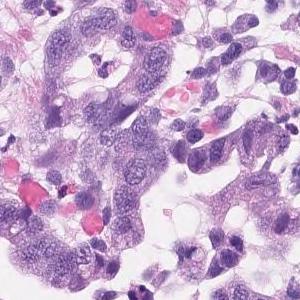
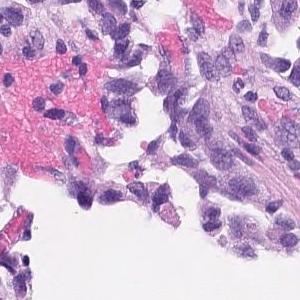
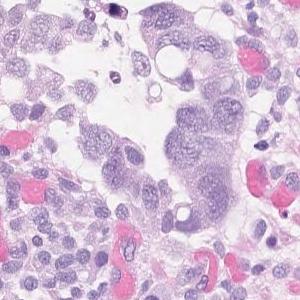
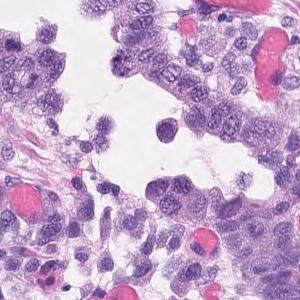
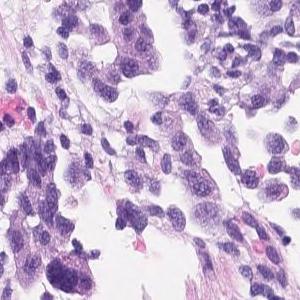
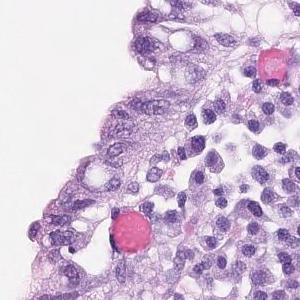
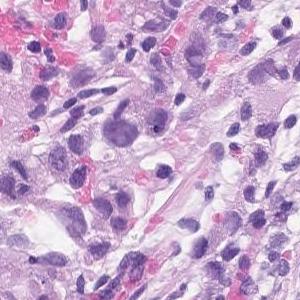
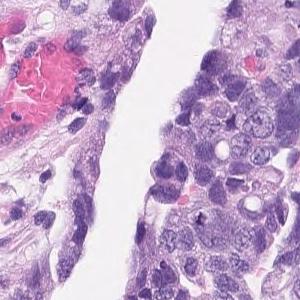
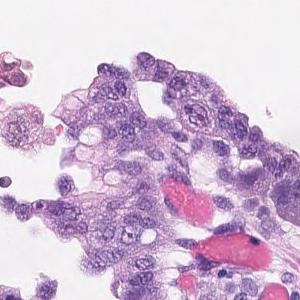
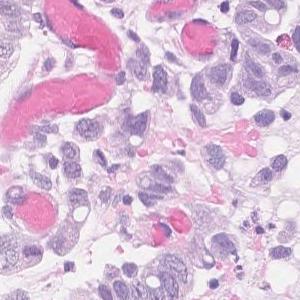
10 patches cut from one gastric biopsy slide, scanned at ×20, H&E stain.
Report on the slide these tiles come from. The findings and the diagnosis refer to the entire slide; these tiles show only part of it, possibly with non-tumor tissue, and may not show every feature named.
Atypical l cells with atypical nuclei forming solid or diffuse vesicles or small irregular atypical ducts and growing in a complex manner. poorly differentiated adenocarcinoma, solid type, moderately differentiated tubular adenocarcinoma.
Mixed histology: poorly differentiated adenocarcinoma, solid type and moderately differentiated tubular adenocarcinoma.
"Solid type" is a category of the Japanese Classification of Gastric Carcinoma; in the WHO 2019 classification it is tubular adenocarcinoma, poorly differentiated.
